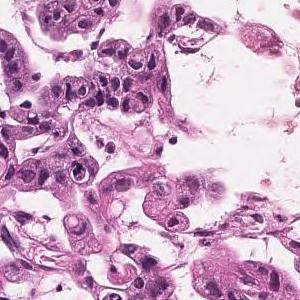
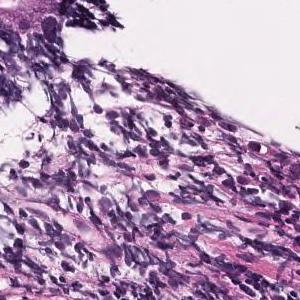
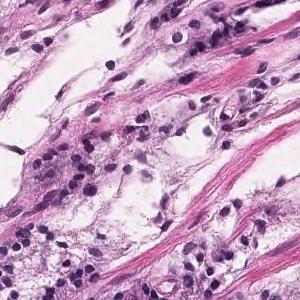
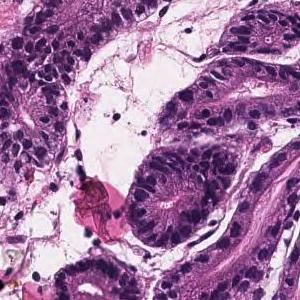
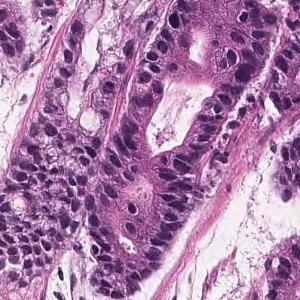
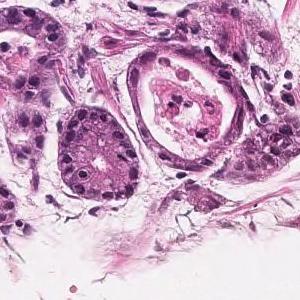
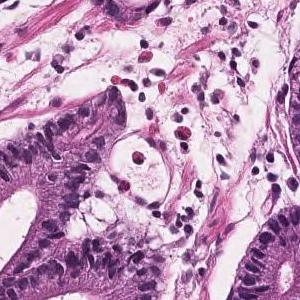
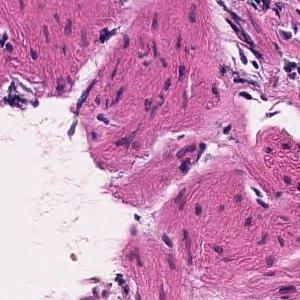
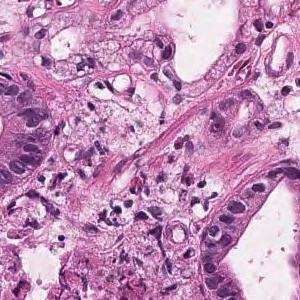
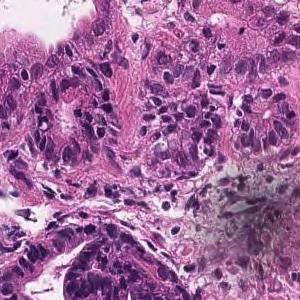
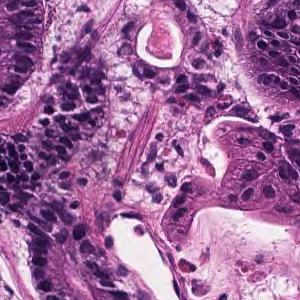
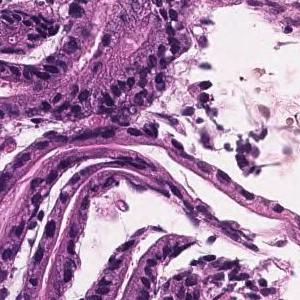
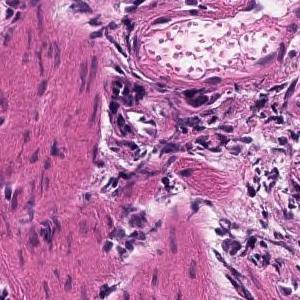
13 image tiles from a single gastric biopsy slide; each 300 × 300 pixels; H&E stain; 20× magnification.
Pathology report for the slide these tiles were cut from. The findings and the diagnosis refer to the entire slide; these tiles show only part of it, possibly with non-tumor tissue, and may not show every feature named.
Tumor tissue with atypical epithelium showing irregular ductal or sieving ductal structure and proliferating is observed. Well to moderately differentiated tubular adenocarcinoma (well differentiated tubular adenocarcinoma-moderately differentiated tubular adenocarcinoma)
Classified as well to moderately differentiated tubular adenocarcinoma.
